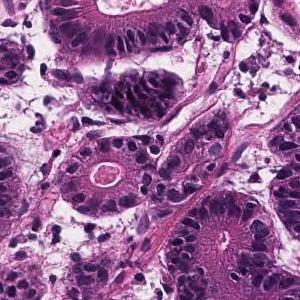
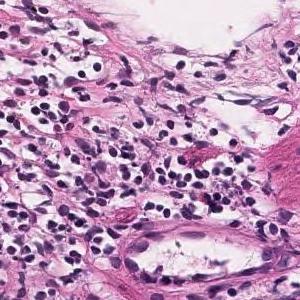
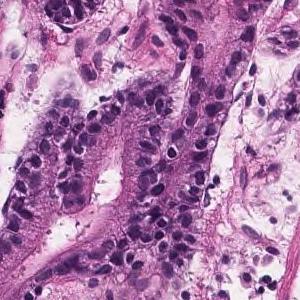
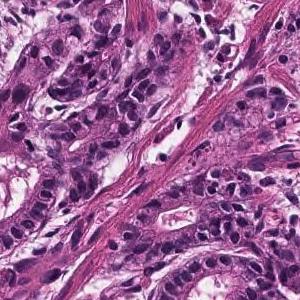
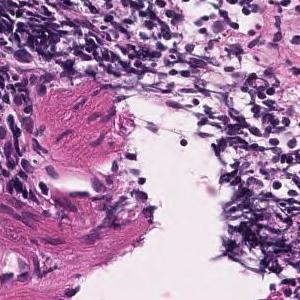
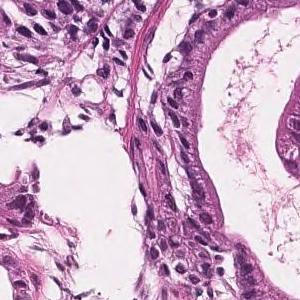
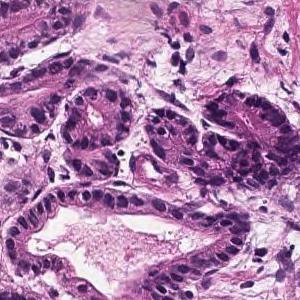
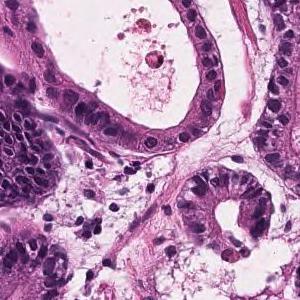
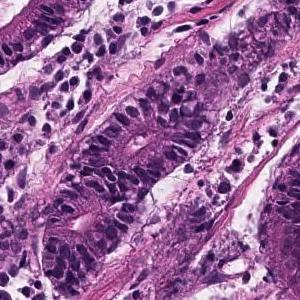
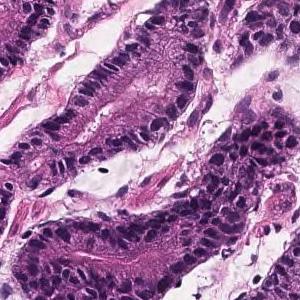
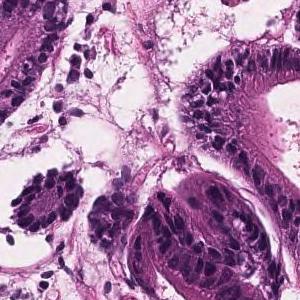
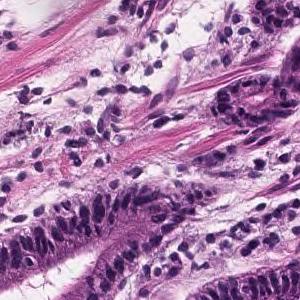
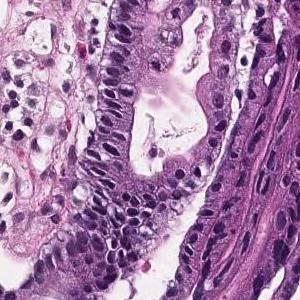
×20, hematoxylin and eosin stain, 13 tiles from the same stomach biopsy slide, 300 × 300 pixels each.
Report on the slide these tiles come from. The findings and the diagnosis refer to the entire slide; these tiles show only part of it, possibly with non-tumor tissue, and may not show every feature named.
Tumor tissue with atypical epithelium showing irregular ductal or sieving ductal structure and proliferating is observed. Well to moderately differentiated tubular adenocarcinoma (well differentiated tubular adenocarcinoma-moderately differentiated tubular adenocarcinoma)
Subtype: Well to moderately differentiated tubular adenocarcinoma.
